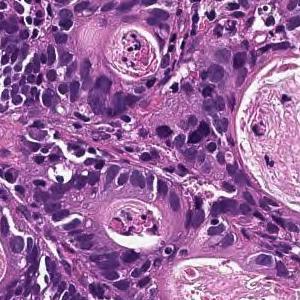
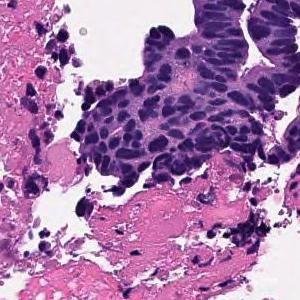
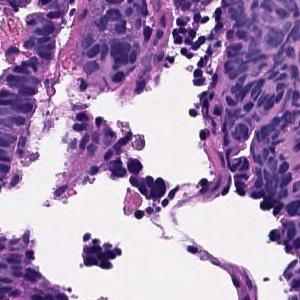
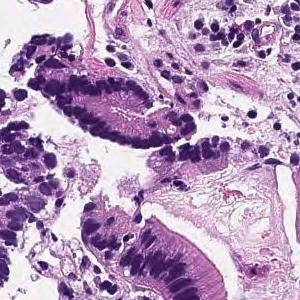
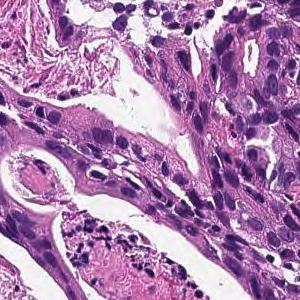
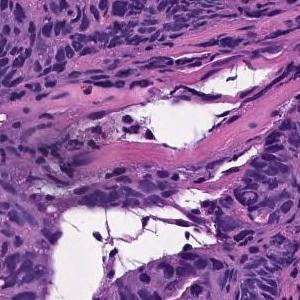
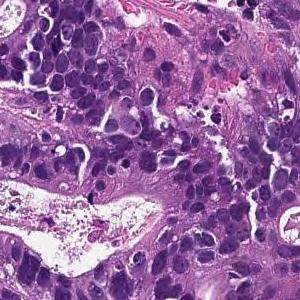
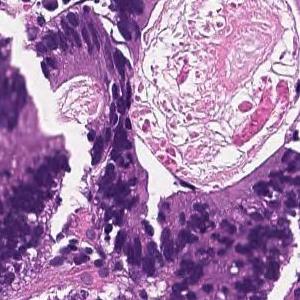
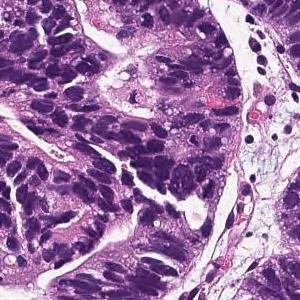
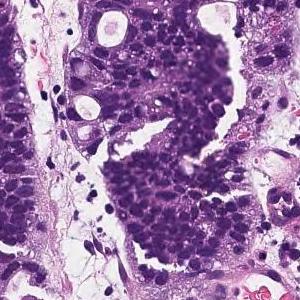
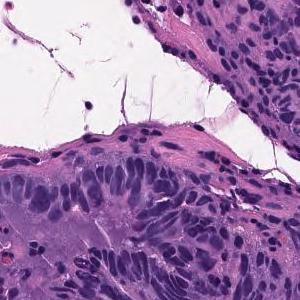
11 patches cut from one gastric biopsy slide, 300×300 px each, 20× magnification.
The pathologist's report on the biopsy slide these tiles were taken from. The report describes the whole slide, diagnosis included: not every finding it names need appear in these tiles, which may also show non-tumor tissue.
In the superficial epithelium, tumor tissue that invades by forming medium-sized to small, irregular ducts is observed. moderately differentiated tubular adenocarcinoma.
